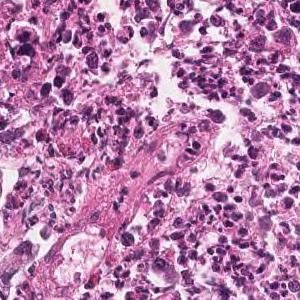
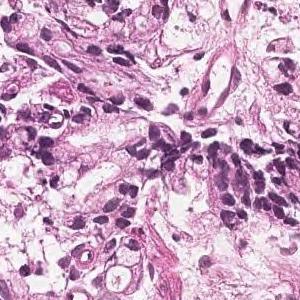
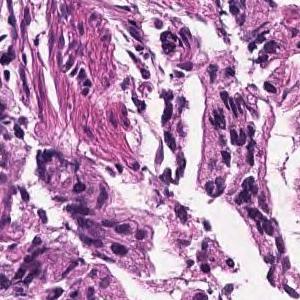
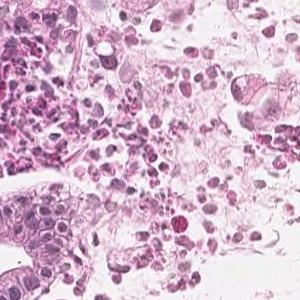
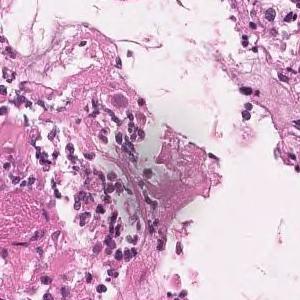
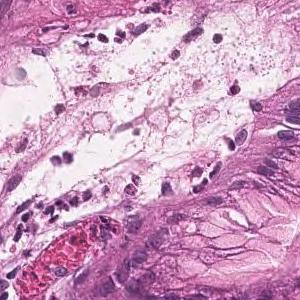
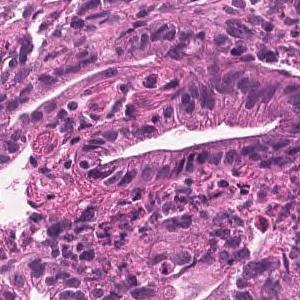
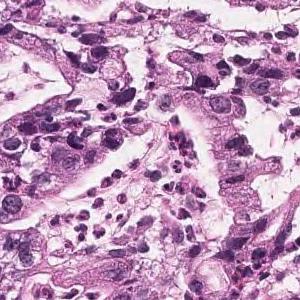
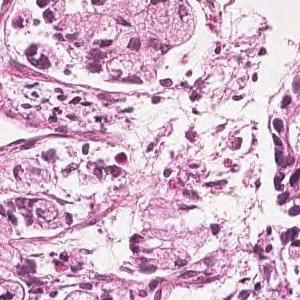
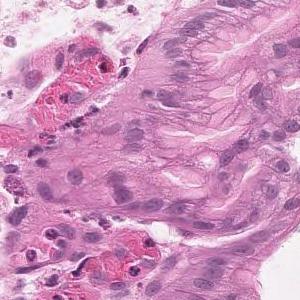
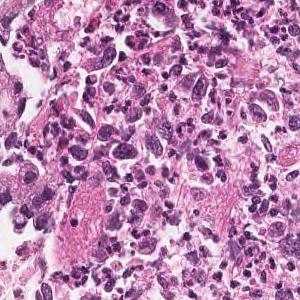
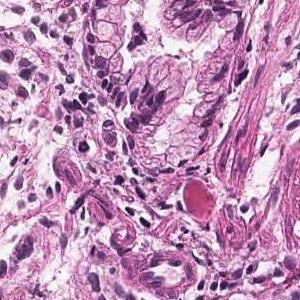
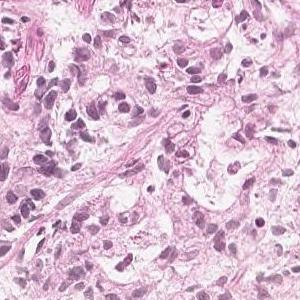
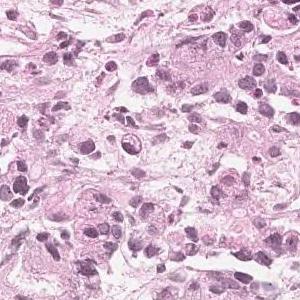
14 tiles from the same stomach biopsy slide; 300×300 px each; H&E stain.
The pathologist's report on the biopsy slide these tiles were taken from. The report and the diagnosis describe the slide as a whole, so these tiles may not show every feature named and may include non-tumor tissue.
In the superficial epithelium, medium to small irregular gland ducts are formed, and in some cases, the ducts are fused to show solid alveolar lesions and infiltrating tumor tissue is observed. Moderately to poorly differentiated adenocarcinoma
